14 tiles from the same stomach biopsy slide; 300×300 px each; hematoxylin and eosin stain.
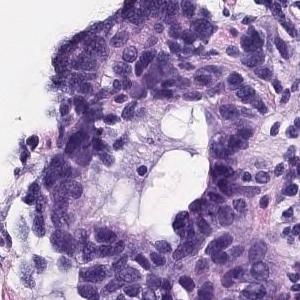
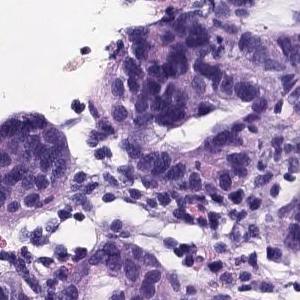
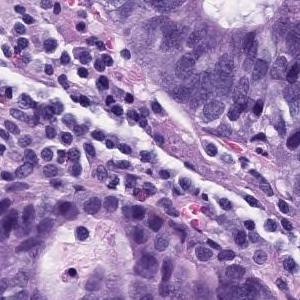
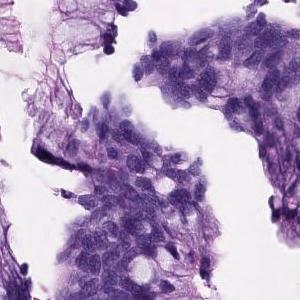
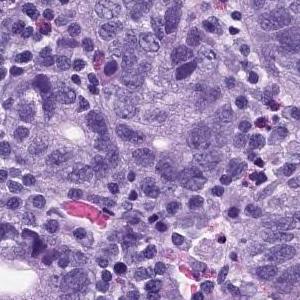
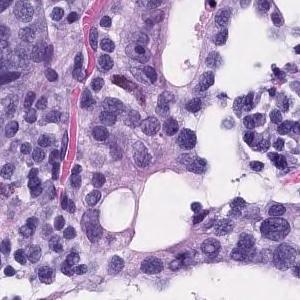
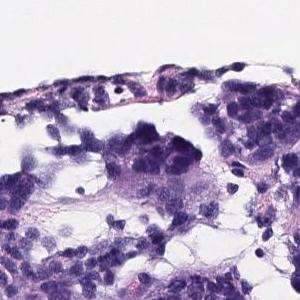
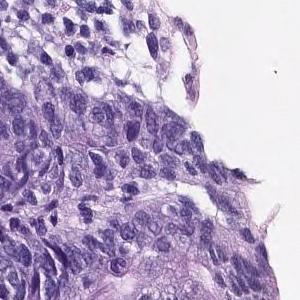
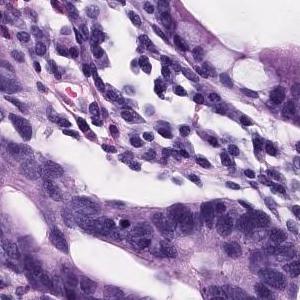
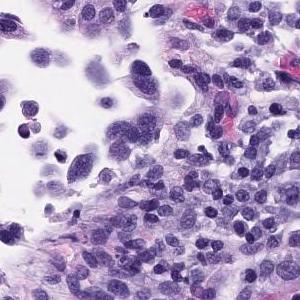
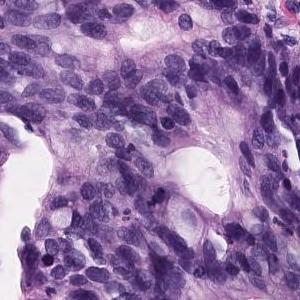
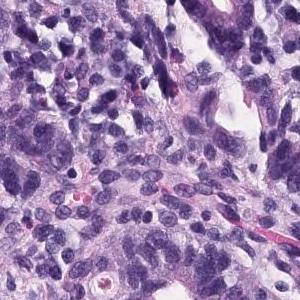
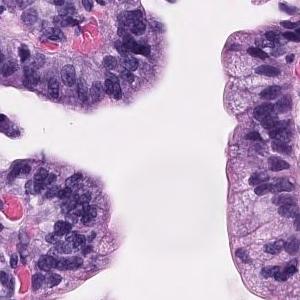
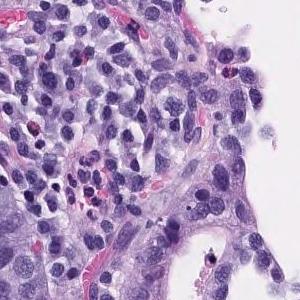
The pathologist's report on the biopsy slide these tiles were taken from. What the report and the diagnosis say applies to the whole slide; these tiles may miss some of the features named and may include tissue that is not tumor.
In the superficial epithelium, tumor tissue that invades by forming medium-sized to small, irregular ducts is observed. Moderately differentiated adenocarcinoma.
Histological subtype: Moderately differentiated tubular adenocarcinoma.
